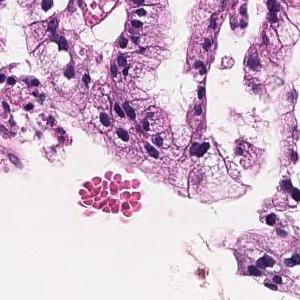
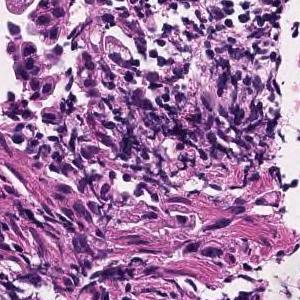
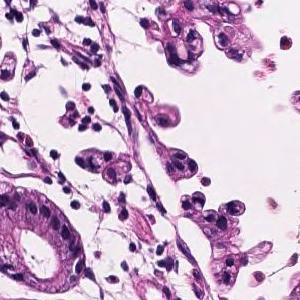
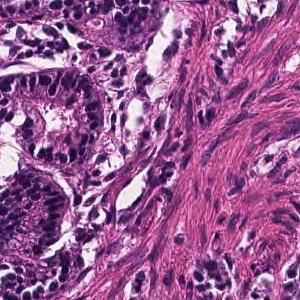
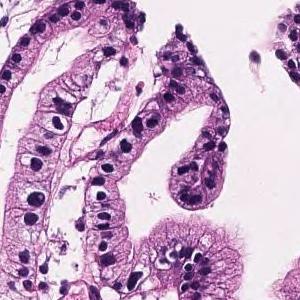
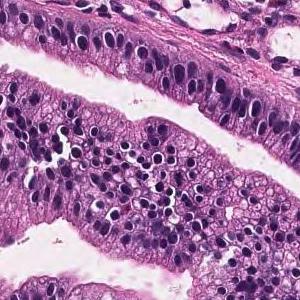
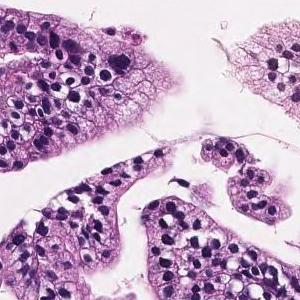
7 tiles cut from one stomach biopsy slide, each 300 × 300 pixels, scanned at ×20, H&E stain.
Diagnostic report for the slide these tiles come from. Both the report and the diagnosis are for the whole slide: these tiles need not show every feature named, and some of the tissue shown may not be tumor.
Tumor tissue consisting of large papillary structures or irregular glandular ducts partially fused and infiltrated is observed in the superficial epithelium. Well to moderately differentiated tubular adenocarcinoma.
The dataset labels this slide moderately differentiated tubular adenocarcinoma.
